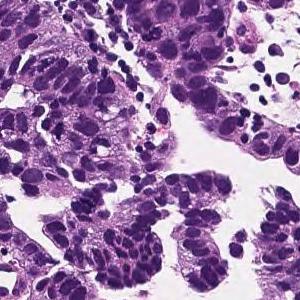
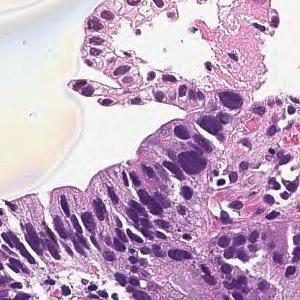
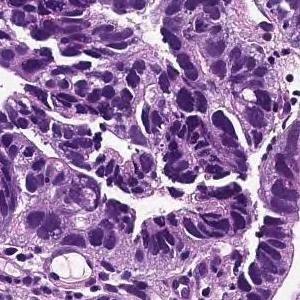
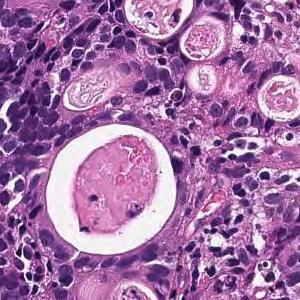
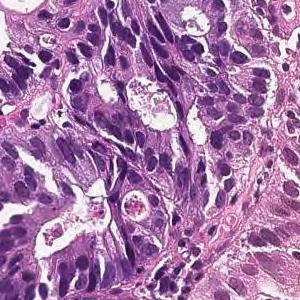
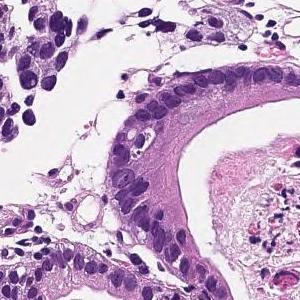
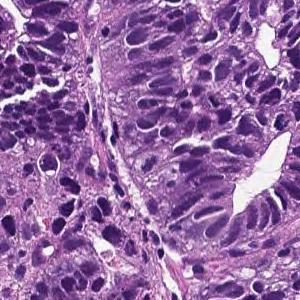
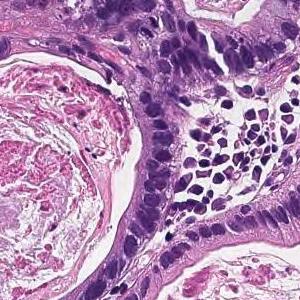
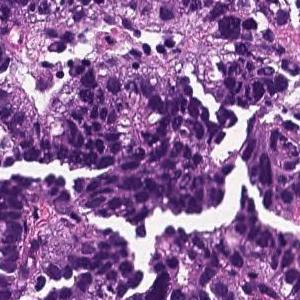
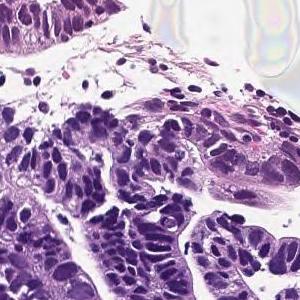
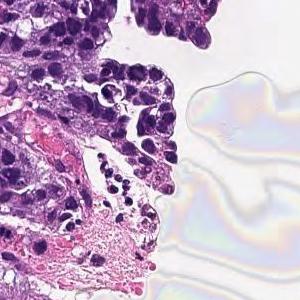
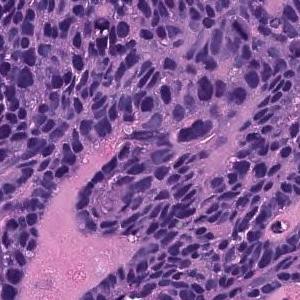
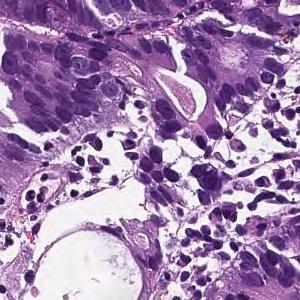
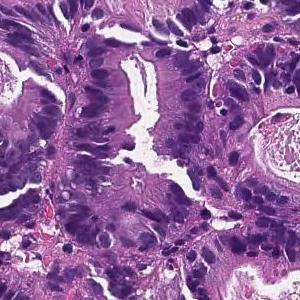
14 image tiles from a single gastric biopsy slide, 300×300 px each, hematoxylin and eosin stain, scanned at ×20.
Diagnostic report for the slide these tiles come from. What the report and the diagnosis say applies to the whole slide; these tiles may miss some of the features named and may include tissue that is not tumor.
In the superficial epithelium, tumor tissue that invades by forming medium-sized to small, irregular ducts is observed. moderately differentiated tubular adenocarcinoma.
